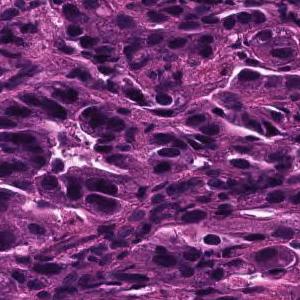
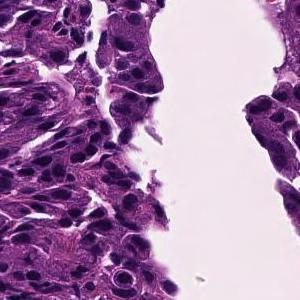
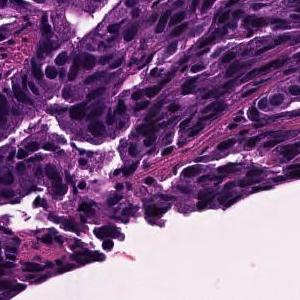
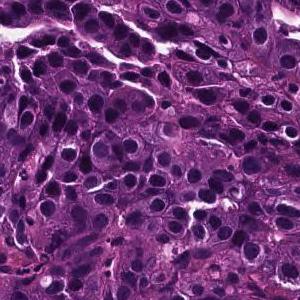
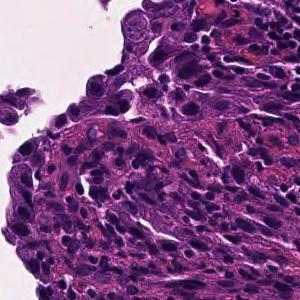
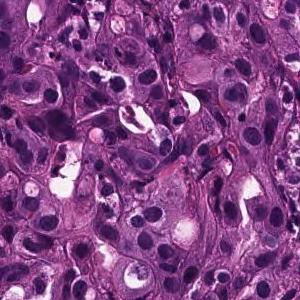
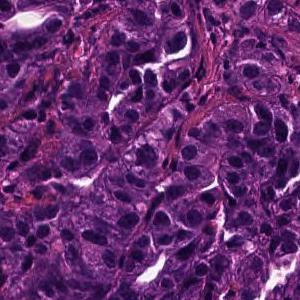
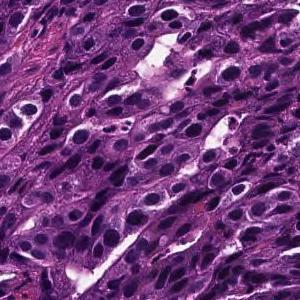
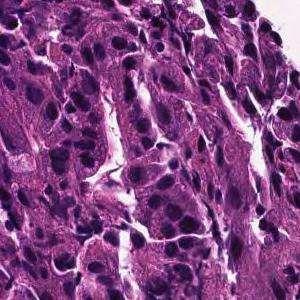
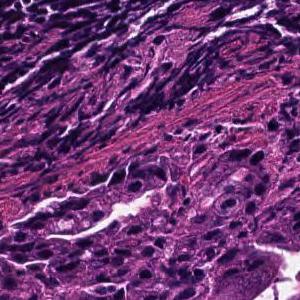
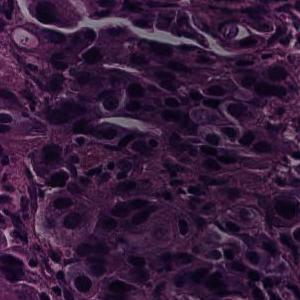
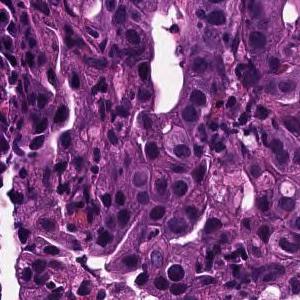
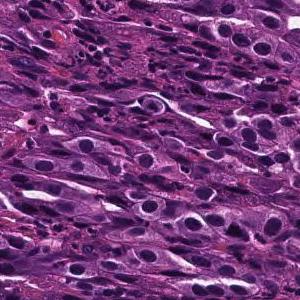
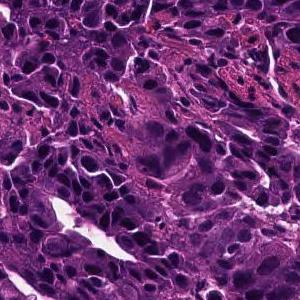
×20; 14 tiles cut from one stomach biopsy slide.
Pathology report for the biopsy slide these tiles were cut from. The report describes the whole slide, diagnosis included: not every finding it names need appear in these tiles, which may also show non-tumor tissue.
Tumor tissue consisting of medium-sized, cord-like or irregular glandular fusion and infiltration is observed in the superficial epithelium. Poorly differentiated adenocarcinoma, non-solid type or moderately differentiated tubular adenocarcinoma
Subtype: Moderately to poorly differentiated adenocarcinoma.
"Non-solid type" is a category of the Japanese Classification of Gastric Carcinoma.
